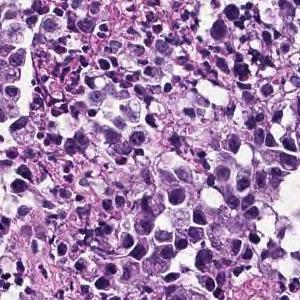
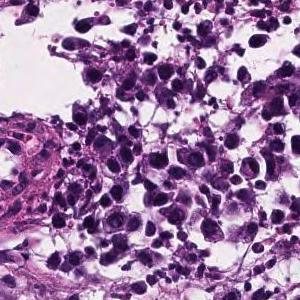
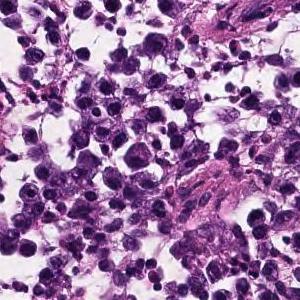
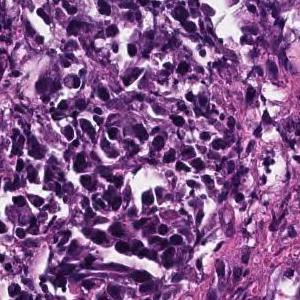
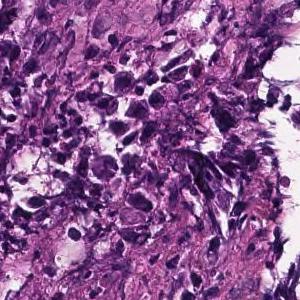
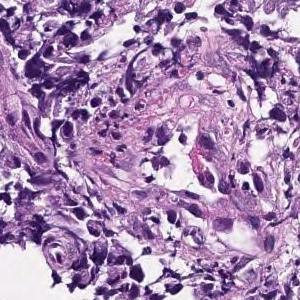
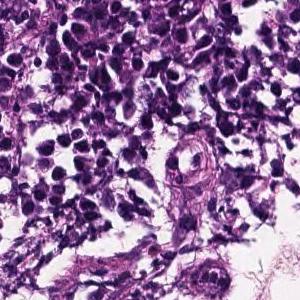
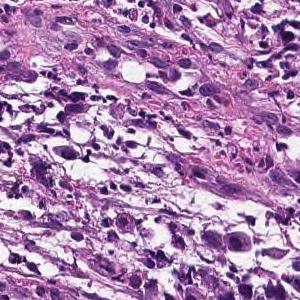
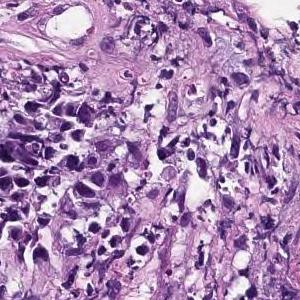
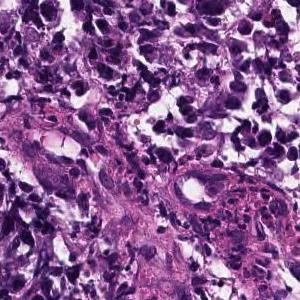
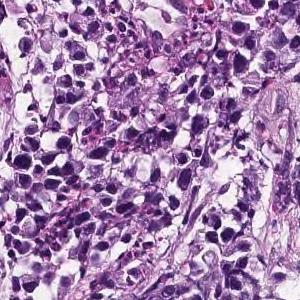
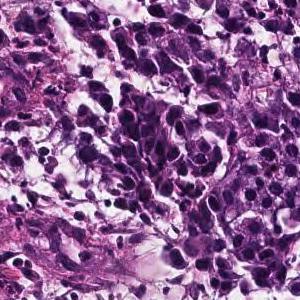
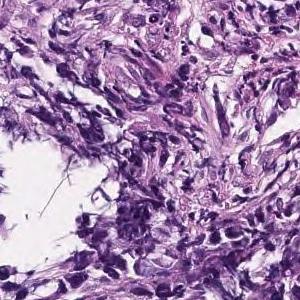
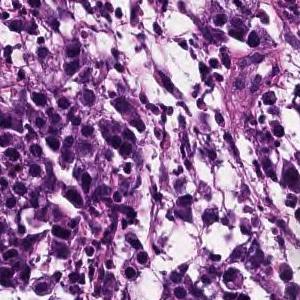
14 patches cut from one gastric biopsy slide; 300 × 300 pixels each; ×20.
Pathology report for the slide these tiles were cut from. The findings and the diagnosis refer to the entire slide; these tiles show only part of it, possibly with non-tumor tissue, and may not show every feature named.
The superficial epithelium shows a small alveolar shape, and some tumor tissues infiltrate with a cord-like structure. Poorly differentiated adenocarcinoma, solid-type
Tumor subtype: poorly differentiated adenocarcinoma, solid type. This name comes from the Japanese Classification of Gastric Carcinoma; the WHO 2019 classification calls it tubular adenocarcinoma, poorly differentiated.
